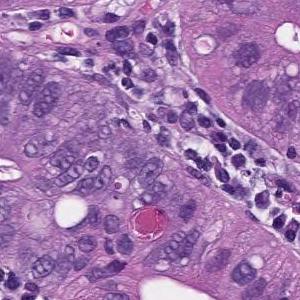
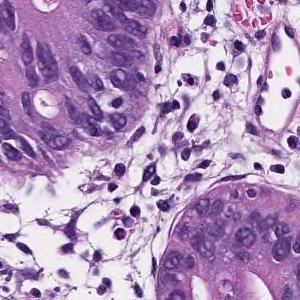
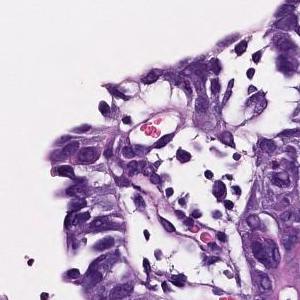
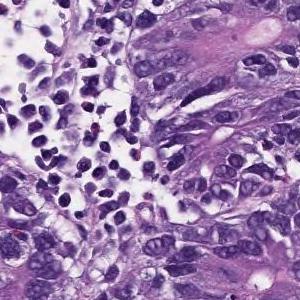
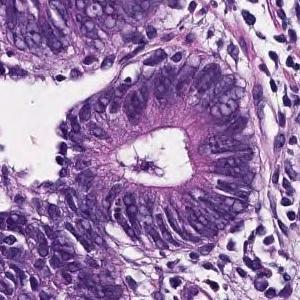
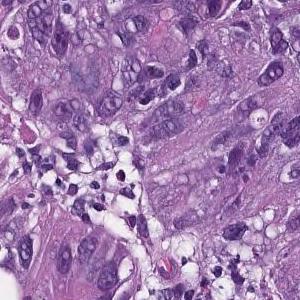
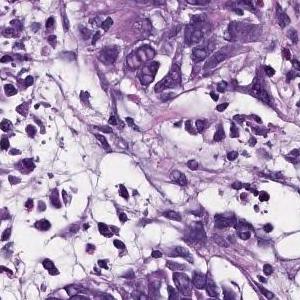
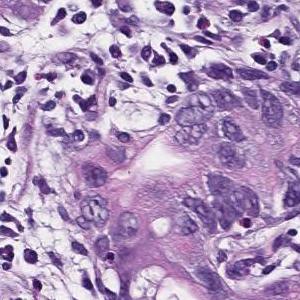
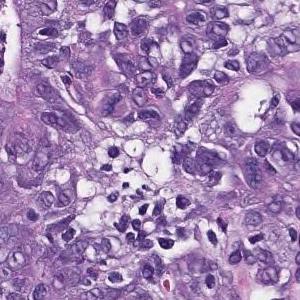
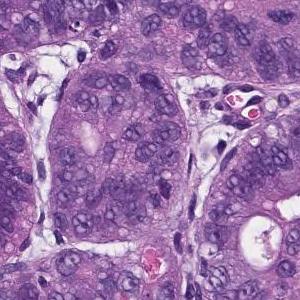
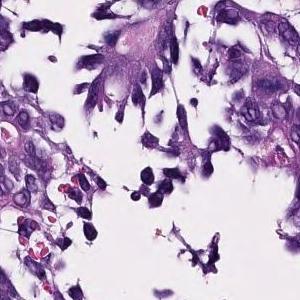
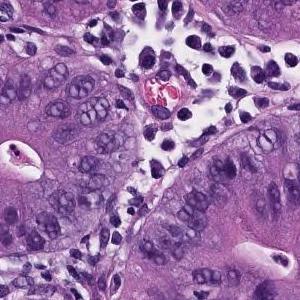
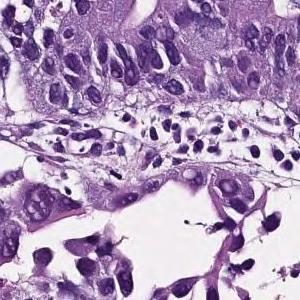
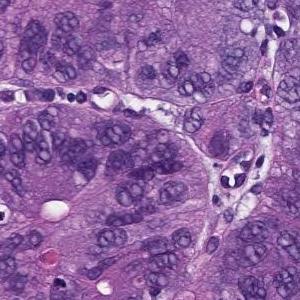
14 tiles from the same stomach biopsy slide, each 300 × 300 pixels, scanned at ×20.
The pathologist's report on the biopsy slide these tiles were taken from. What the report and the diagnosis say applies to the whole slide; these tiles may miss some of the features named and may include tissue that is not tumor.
In the superficial epithelium, tumor tissue that invades by forming medium-sized to small, irregular ducts is observed. moderately differentiated tubular adenocarcinoma.
